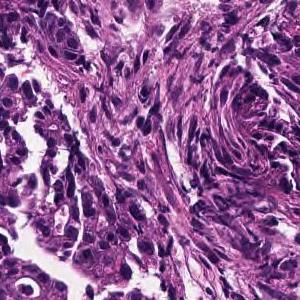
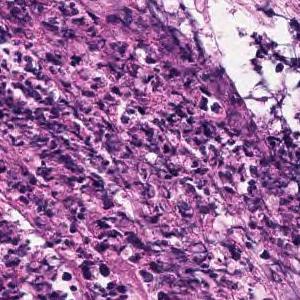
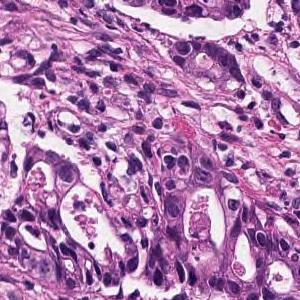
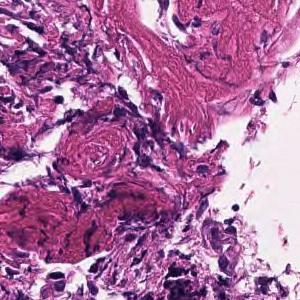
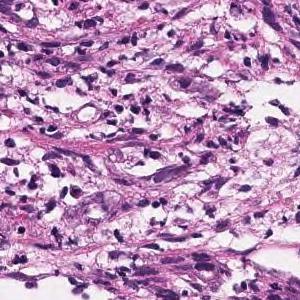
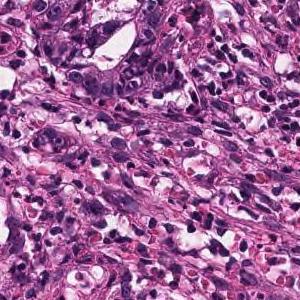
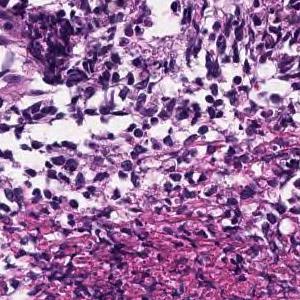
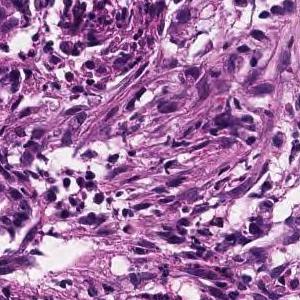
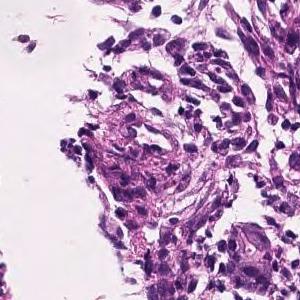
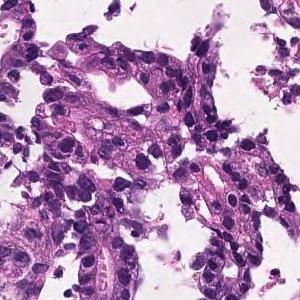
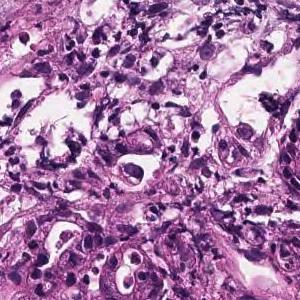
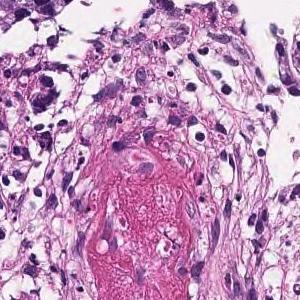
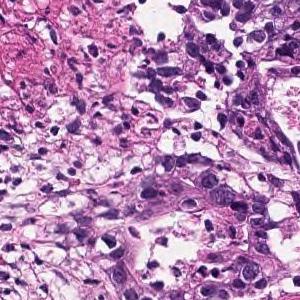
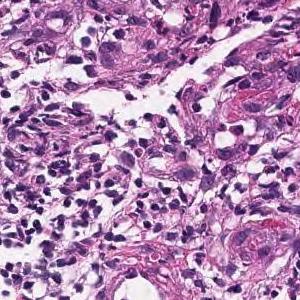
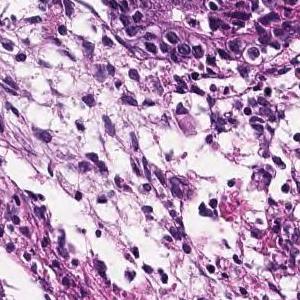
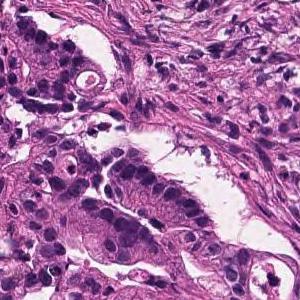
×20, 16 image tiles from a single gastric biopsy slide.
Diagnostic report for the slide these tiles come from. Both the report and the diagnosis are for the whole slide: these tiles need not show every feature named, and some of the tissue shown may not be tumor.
In the superficial epithelium, medium to small, irregular gland ducts are formed, and in some cases, the gland ducts are fused to show solid alveolar lesions and infiltrating tumor tissue is observed. Moderately to poorly differentiated adenocarcinoma.
